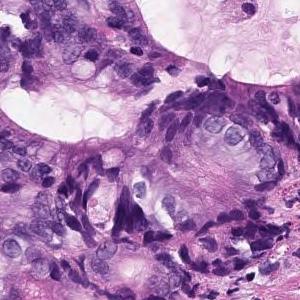
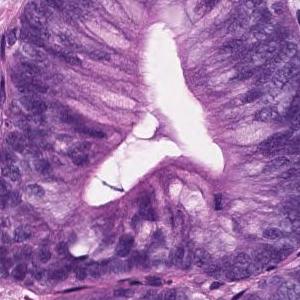
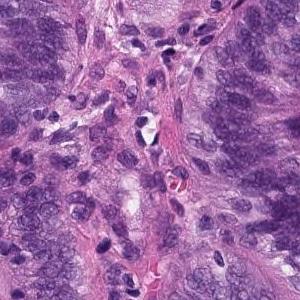
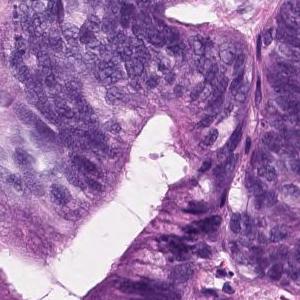
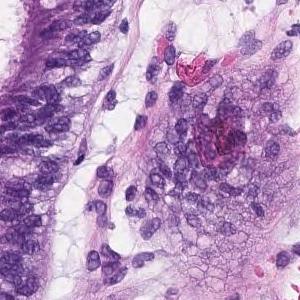
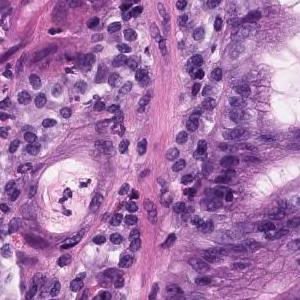
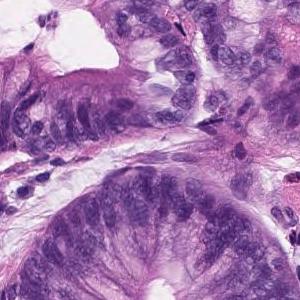
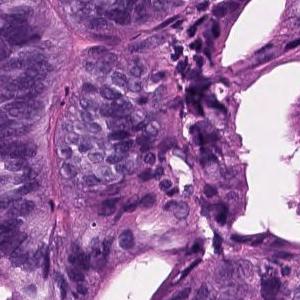
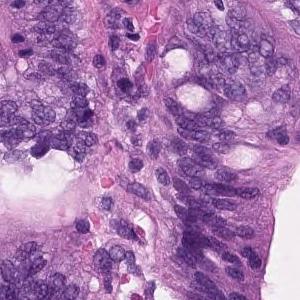
9 tiles from the same stomach biopsy slide; 300 × 300 pixels each; 20× magnification; H&E.
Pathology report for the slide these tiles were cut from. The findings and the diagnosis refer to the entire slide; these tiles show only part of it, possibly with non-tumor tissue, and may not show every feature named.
Group 5, Well differentiated tubular adenocarcinoma.
